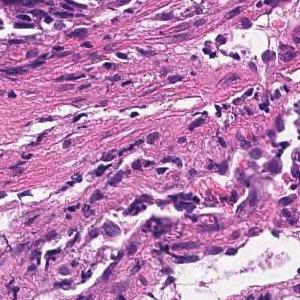
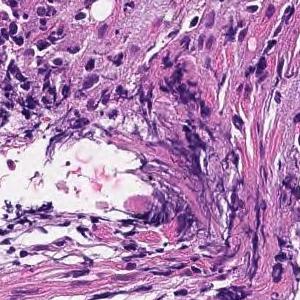
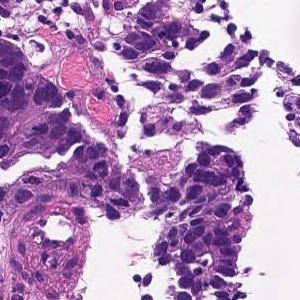
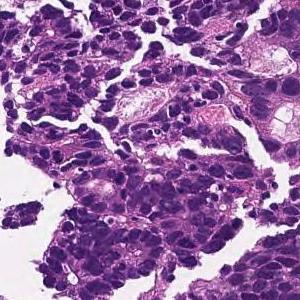
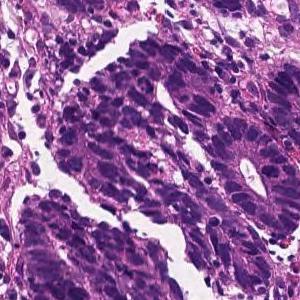
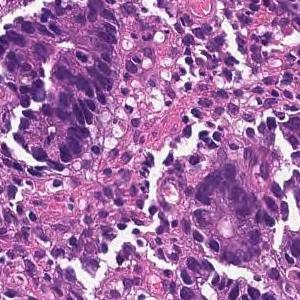
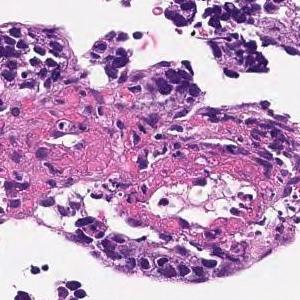
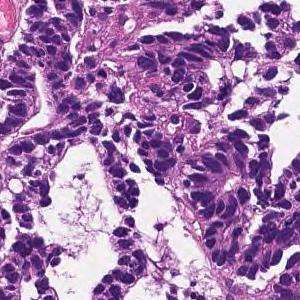
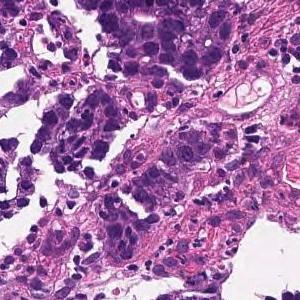
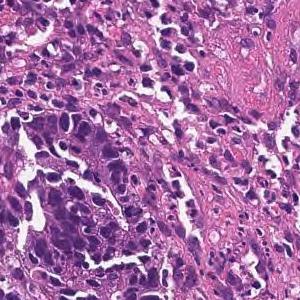
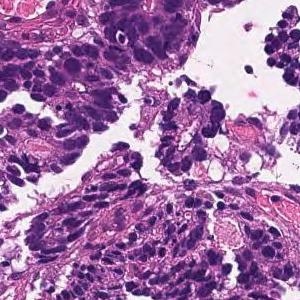
11 tiles cut from one stomach biopsy slide; each 300 × 300 pixels; H&E.
Report on the slide these tiles come from. Both the report and the diagnosis are for the whole slide: these tiles need not show every feature named, and some of the tissue shown may not be tumor.
In the superficial epithelium, tumor tissue that invades by forming medium-sized to small, irregular ducts is observed. Moderately differentiated adenocarcinoma (moderately differentiated tubular adenocarcinoma).
Classified as moderately differentiated tubular adenocarcinoma.
